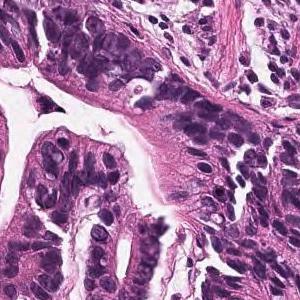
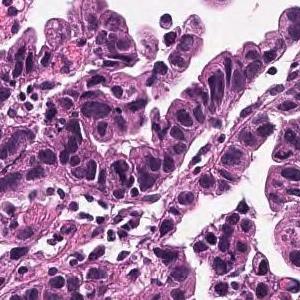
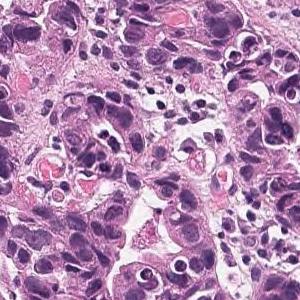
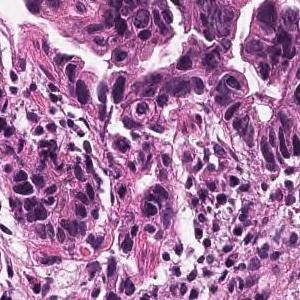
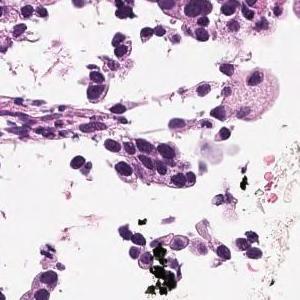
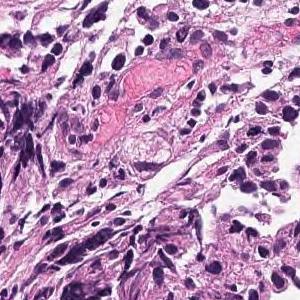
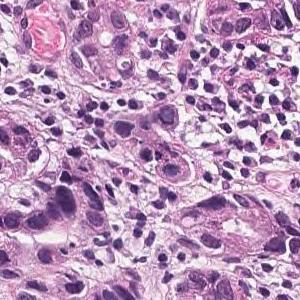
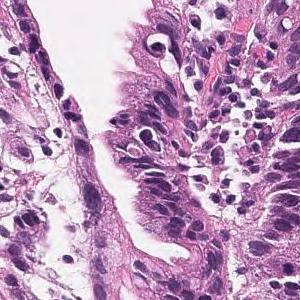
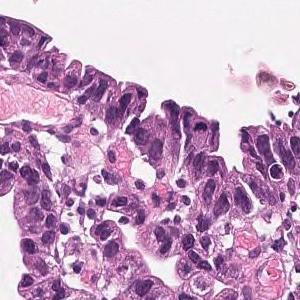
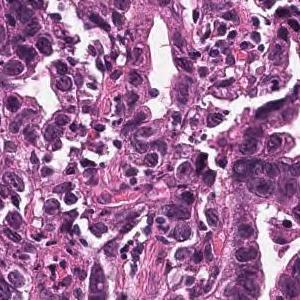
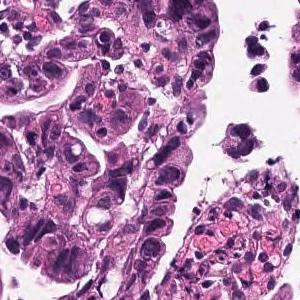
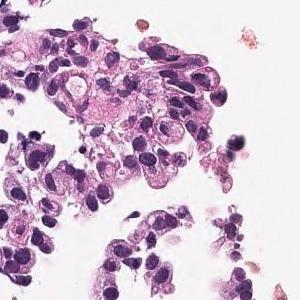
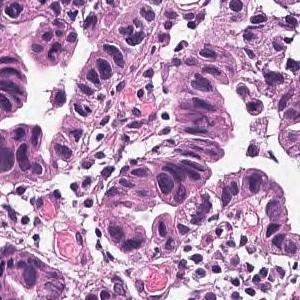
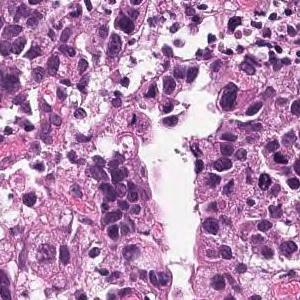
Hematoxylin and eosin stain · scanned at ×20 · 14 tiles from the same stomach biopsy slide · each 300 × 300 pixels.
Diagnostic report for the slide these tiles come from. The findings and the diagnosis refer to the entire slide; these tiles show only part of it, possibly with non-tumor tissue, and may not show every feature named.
Medium to small, irregular glandular ducts are formed in the superficial epithelium, and in some cases, the glandular ducts are fused to show solid alveolar lesions and infiltrating tumor tissue is observed. Moderately to poorly differentiated adenocarcinoma.
